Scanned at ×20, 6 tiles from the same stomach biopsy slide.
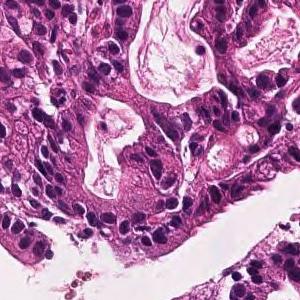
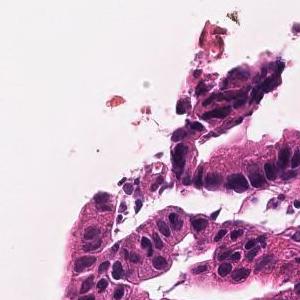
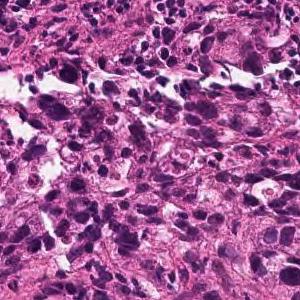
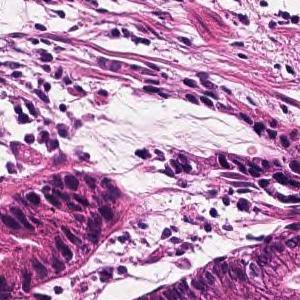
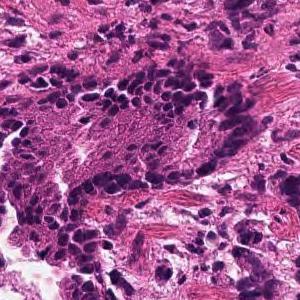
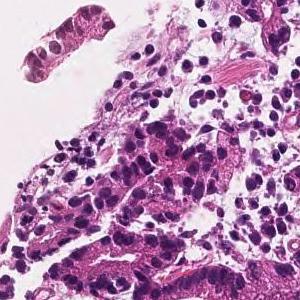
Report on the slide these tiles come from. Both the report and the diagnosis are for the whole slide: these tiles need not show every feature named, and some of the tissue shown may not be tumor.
In the superficial epithelium, tumor tissue that invades by forming medium-sized to small, irregular ducts is observed. moderately differentiated tubular adenocarcinoma.
